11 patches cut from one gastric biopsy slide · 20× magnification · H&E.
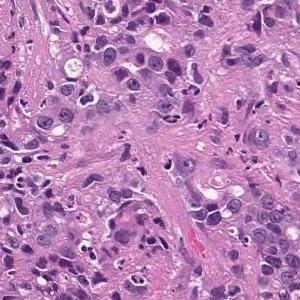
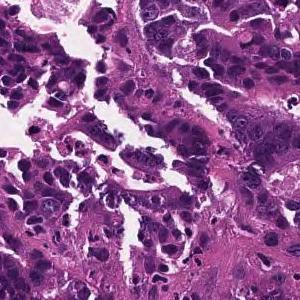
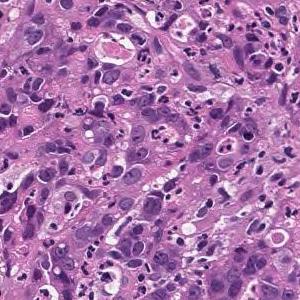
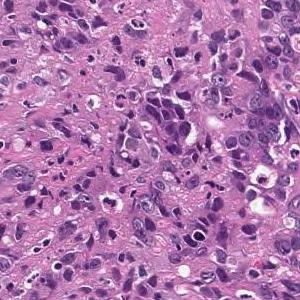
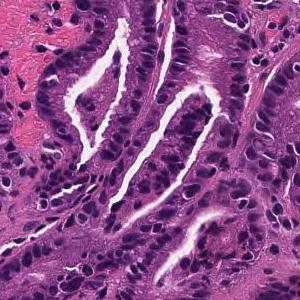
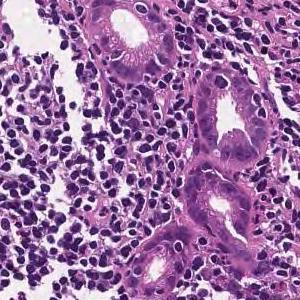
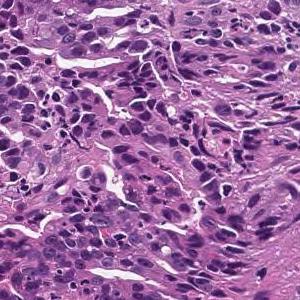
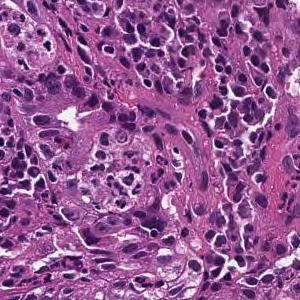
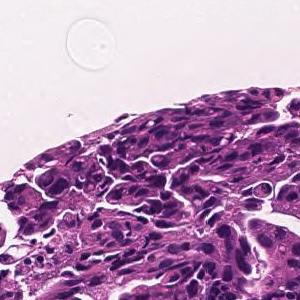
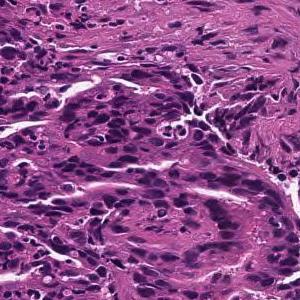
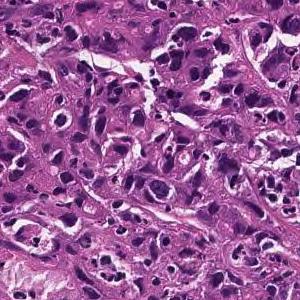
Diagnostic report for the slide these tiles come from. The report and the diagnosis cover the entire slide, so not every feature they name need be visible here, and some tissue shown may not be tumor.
In the superficial epithelium, tumor tissue that invades by forming medium-sized to small, irregular ducts is observed. moderately differentiated tubular adenocarcinoma.
